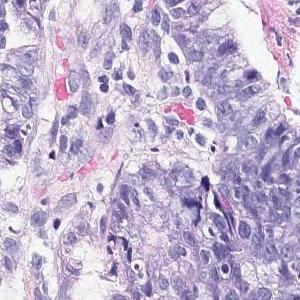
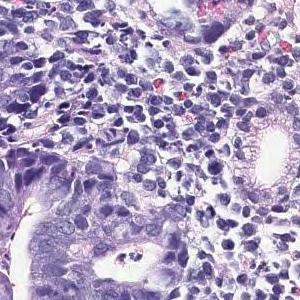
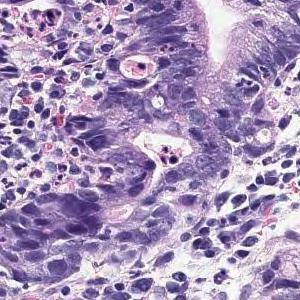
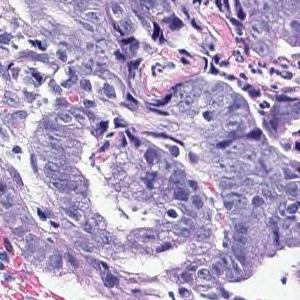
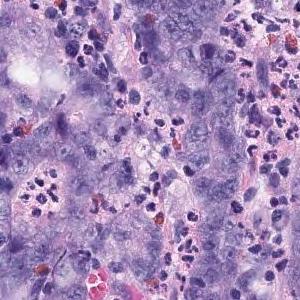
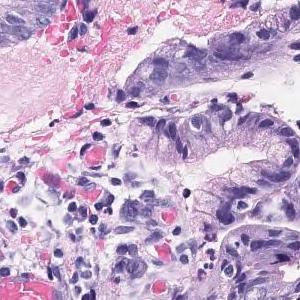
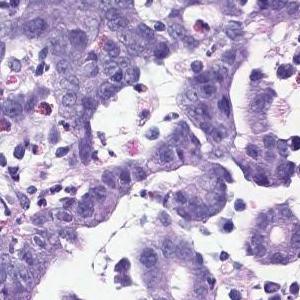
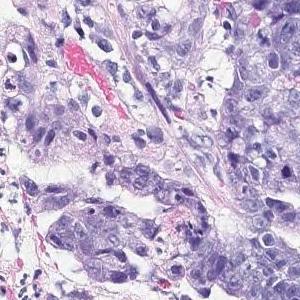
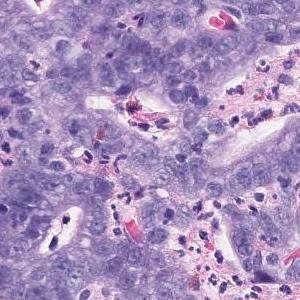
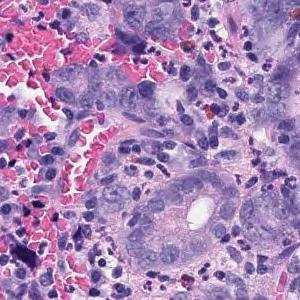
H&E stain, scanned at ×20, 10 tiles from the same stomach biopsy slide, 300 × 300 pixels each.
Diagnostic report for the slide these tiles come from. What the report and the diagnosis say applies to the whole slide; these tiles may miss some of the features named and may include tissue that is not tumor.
In the superficial epithelium, tumor tissue that invades by forming medium-sized to small, irregular ducts is observed. Moderately differentiated adenocarcinoma.
Histologic type: Moderately differentiated tubular adenocarcinoma.
